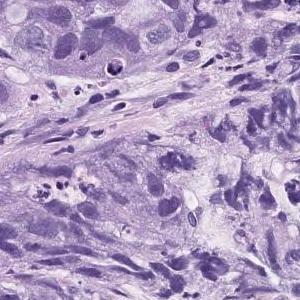
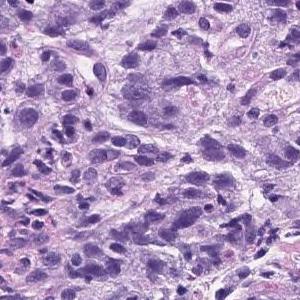
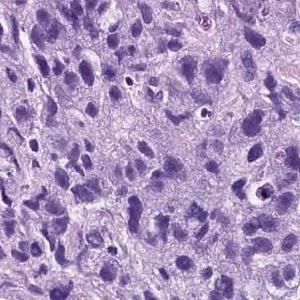
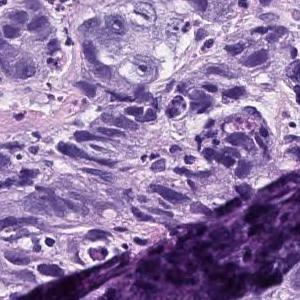
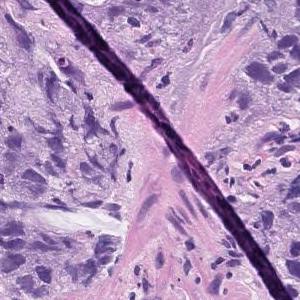
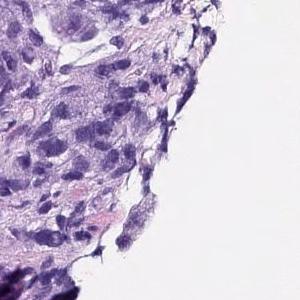
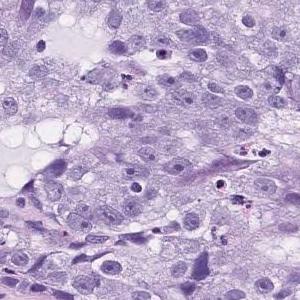
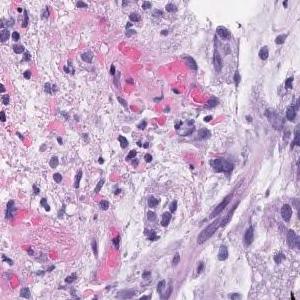
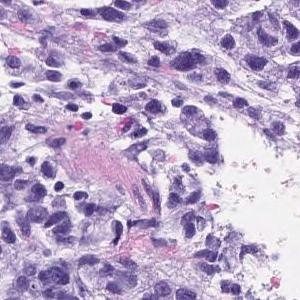
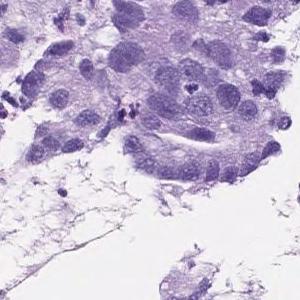
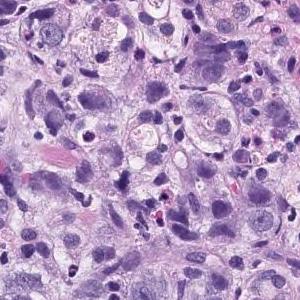
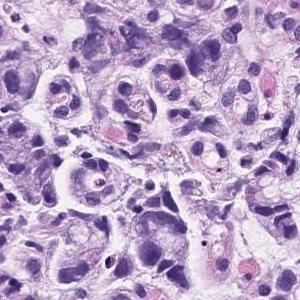
H&E stain · 20× magnification · 12 tiles cut from one stomach biopsy slide.
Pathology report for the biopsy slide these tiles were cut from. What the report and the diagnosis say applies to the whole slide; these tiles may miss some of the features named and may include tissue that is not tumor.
Atypical l cells with atypical nuclei forming solid vesicles or small irregular atypical ducts that proliferate in a complex manner. poorly differentiated adenocarcinoma, solid type, moderately differentiated tubular adenocarcinoma
The solid type named here is a Japanese Classification of Gastric Carcinoma category; WHO 2019 calls it tubular adenocarcinoma, poorly differentiated.
